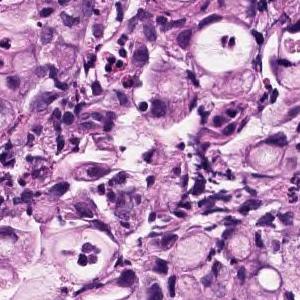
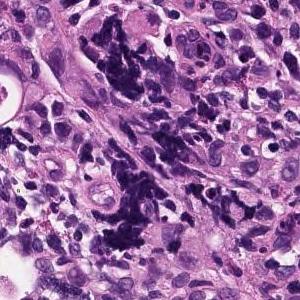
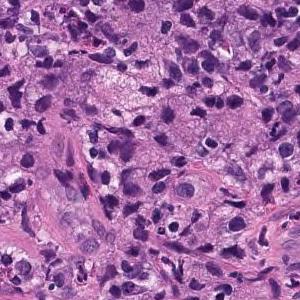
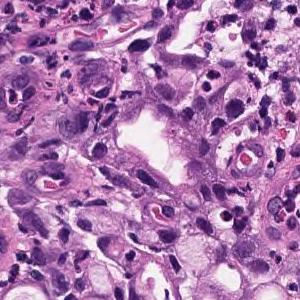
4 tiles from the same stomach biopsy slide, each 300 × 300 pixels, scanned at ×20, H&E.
Diagnostic report for the slide these tiles come from. The report describes the whole slide, diagnosis included: not every finding it names need appear in these tiles, which may also show non-tumor tissue.
Atypical epithelium forms irregularly fused gland ducts and proliferates. Poorly differentiated adenocarcinoma.
Histological subtype: Poorly differentiated adenocarcinoma, non-solid type.
"Non-solid type" is a category of the Japanese Classification of Gastric Carcinoma.
